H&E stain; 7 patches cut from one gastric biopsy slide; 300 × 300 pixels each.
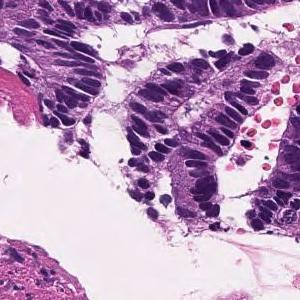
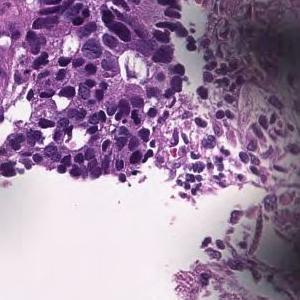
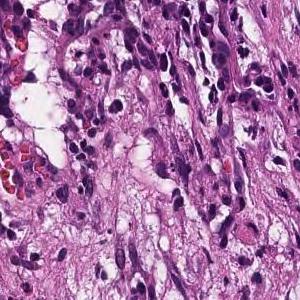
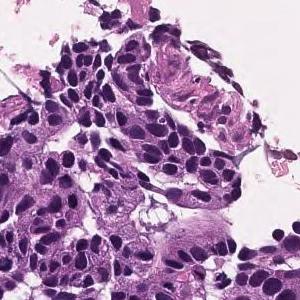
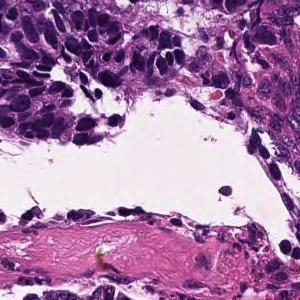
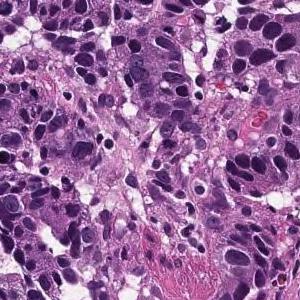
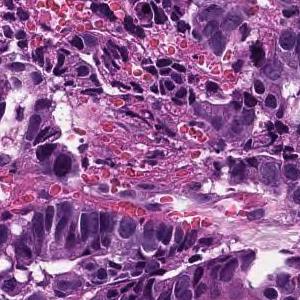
Report on the slide these tiles come from. What the report and the diagnosis say applies to the whole slide; these tiles may miss some of the features named and may include tissue that is not tumor.
Tumor tissue consisting of large, irregular glandular ducts, centered on the submucosa, infiltrated by fusion with each other is observed. Well to moderately differentiated tubular adenocarcinoma (well differentiated tubular adenocarcinoma-moderately differentiated tubular adenocarcinoma)
Subtype: Well to moderately differentiated tubular adenocarcinoma.
